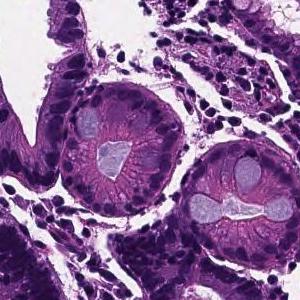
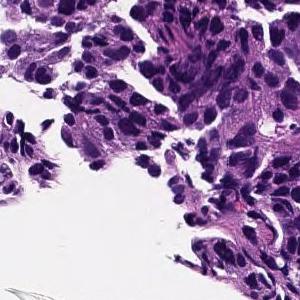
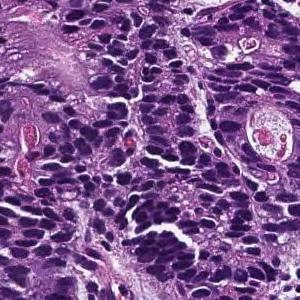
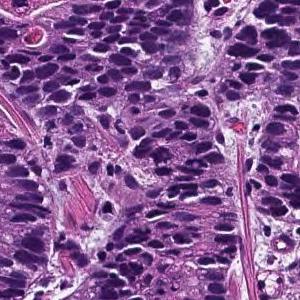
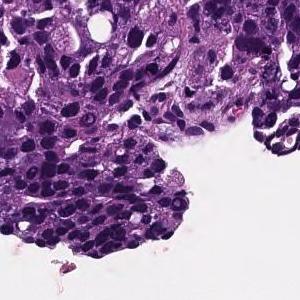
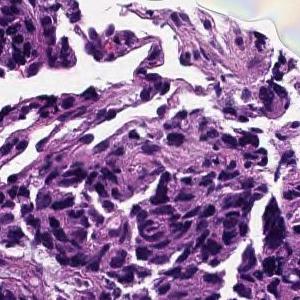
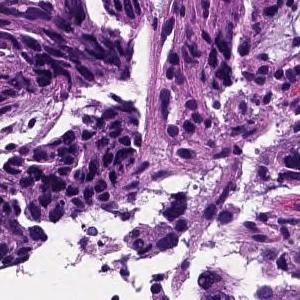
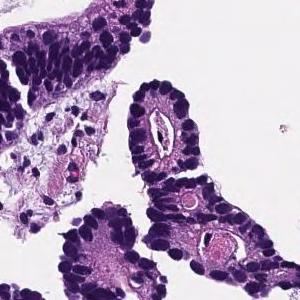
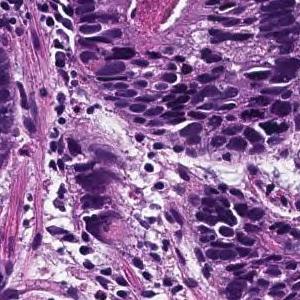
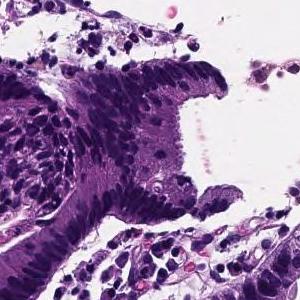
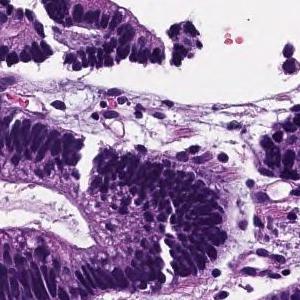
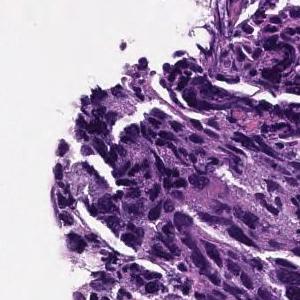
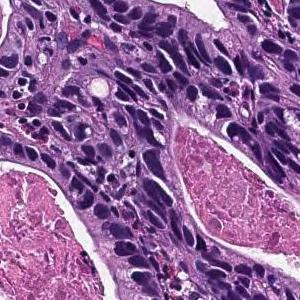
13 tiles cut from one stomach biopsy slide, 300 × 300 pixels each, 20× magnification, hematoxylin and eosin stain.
Diagnostic report for the slide these tiles come from. Both the report and the diagnosis are for the whole slide: these tiles need not show every feature named, and some of the tissue shown may not be tumor.
From the superficial epithelium to the muscularis mucosae, tumor tissue consisting of medium-sized and irregular glandular ducts infiltrating is observed. Well differentiated tubular adenocarcinoma
